6 image tiles from a single gastric biopsy slide; each 300 × 300 pixels; scanned at ×20; H&E.
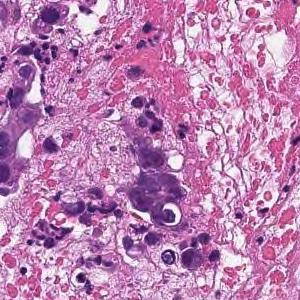
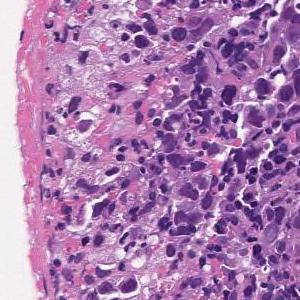
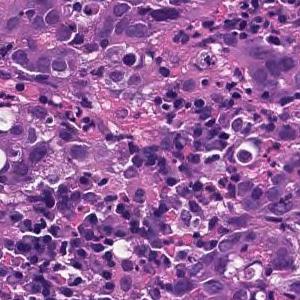
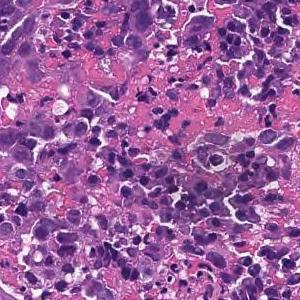
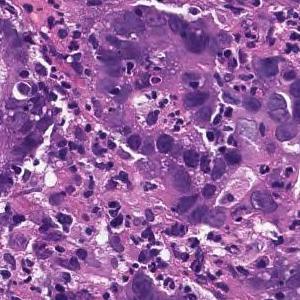
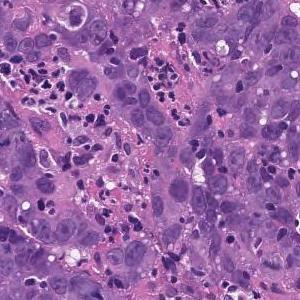
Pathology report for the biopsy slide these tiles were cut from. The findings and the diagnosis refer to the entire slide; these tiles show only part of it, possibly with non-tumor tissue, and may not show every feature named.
Tumor tissue consisting of cord-like or small, irregular glandular ducts fused and infiltrated is observed in the superficial epithelium. Poorly differentiated adenocarcinoma, non-solid type
The non-solid type named here is a Japanese Classification of Gastric Carcinoma category.
